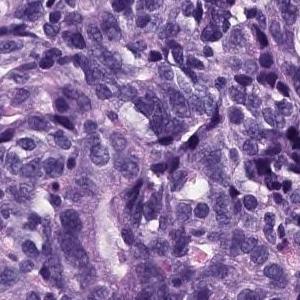
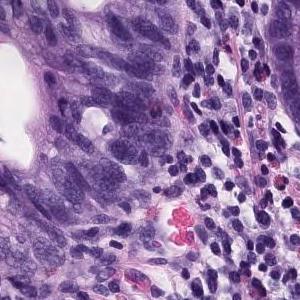
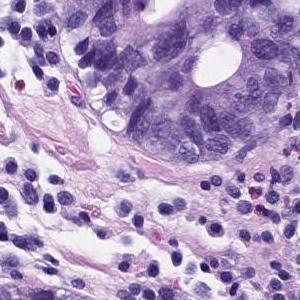
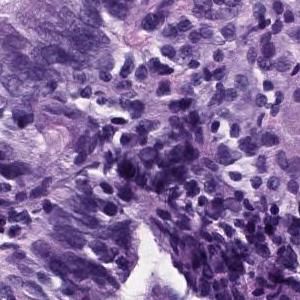
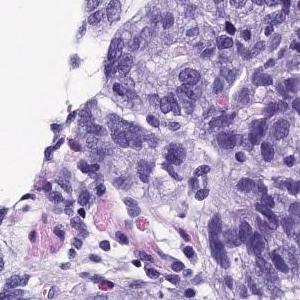
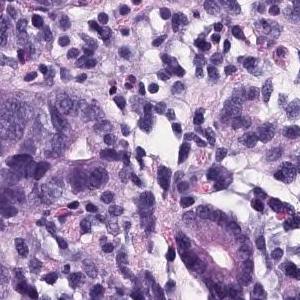
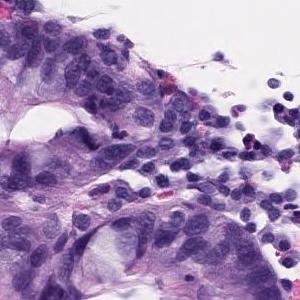
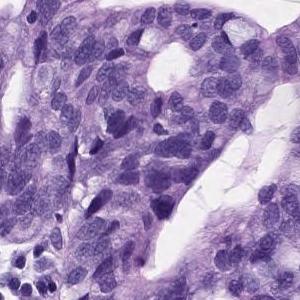
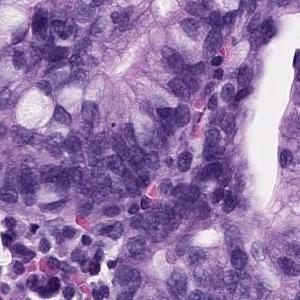
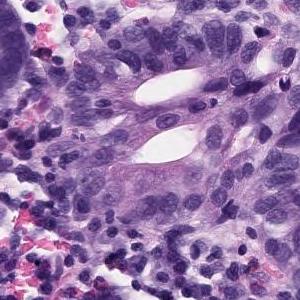
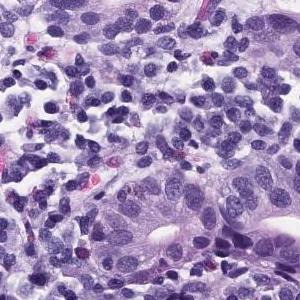
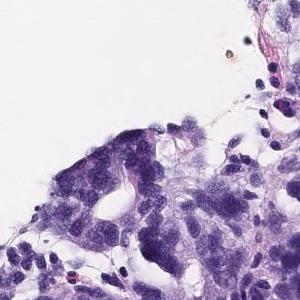
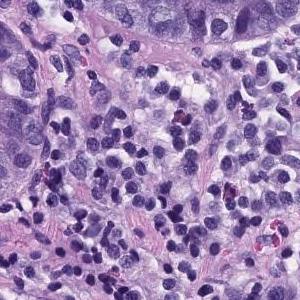
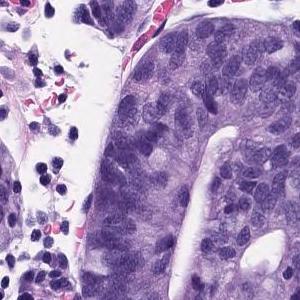
×20; H&E stain; 14 image tiles from a single gastric biopsy slide; 300×300 px each.
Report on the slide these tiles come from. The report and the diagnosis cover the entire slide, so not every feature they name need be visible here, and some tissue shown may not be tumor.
In the superficial epithelium, tumor tissue that invades by forming medium-sized to small, irregular ducts is observed. Moderately differentiated adenocarcinoma.
Subtype: Moderately differentiated tubular adenocarcinoma.
